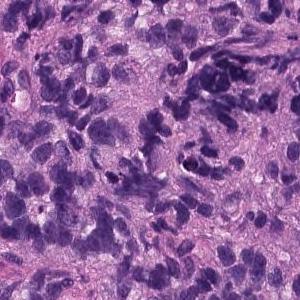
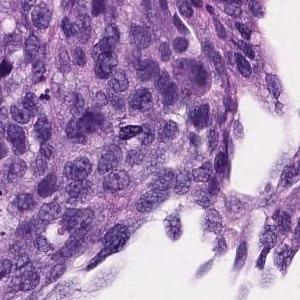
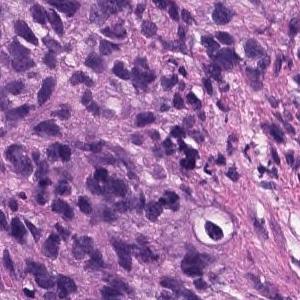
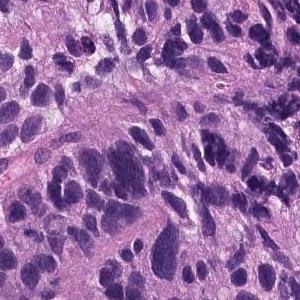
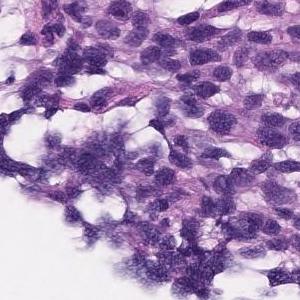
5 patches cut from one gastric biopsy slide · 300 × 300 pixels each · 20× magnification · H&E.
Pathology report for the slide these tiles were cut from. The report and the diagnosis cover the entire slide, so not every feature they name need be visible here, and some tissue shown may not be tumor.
Atypical l cells with atypical nuclei under the mucosa growing in isolation and scattered. Poorly differentiated adenocarcinoma (poorly differentiated adenocarcinoma, non-solid type)
Histologic type: Poorly differentiated adenocarcinoma, non-solid type.
"Non-solid type" is a category of the Japanese Classification of Gastric Carcinoma.
